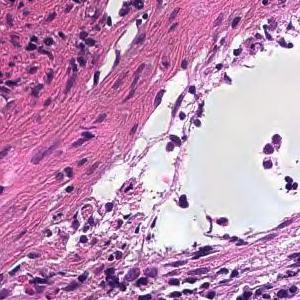
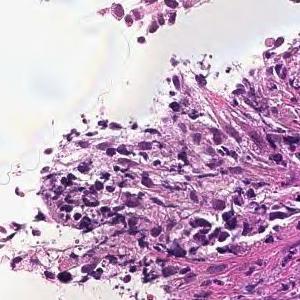
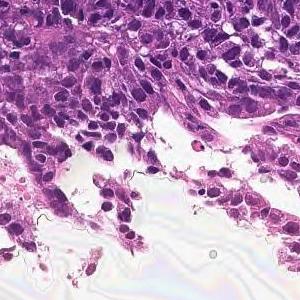
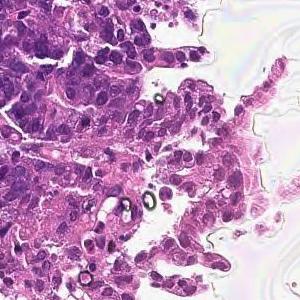
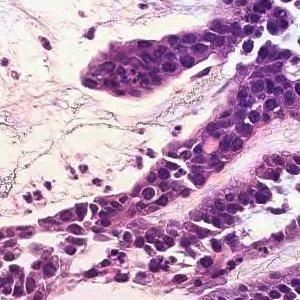
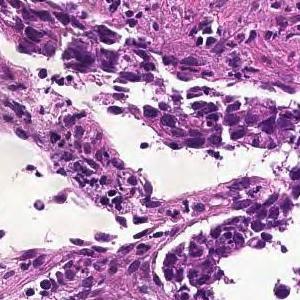
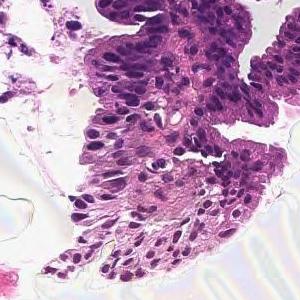
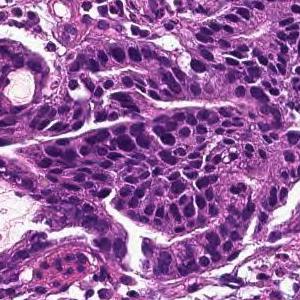
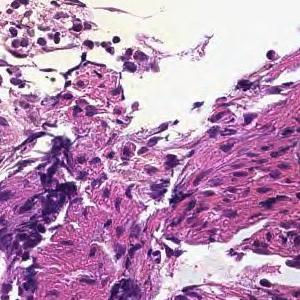
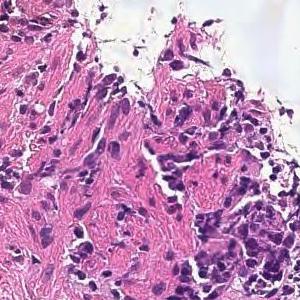
10 tiles from the same stomach biopsy slide, 300×300 px each, ×20, H&E.
Pathology report for the biopsy slide these tiles were cut from. The report describes the whole slide, diagnosis included: not every finding it names need appear in these tiles, which may also show non-tumor tissue.
In the superficial epithelium, tumor tissue that invades by forming medium-sized to small, irregular ducts is observed. moderately differentiated tubular adenocarcinoma.
